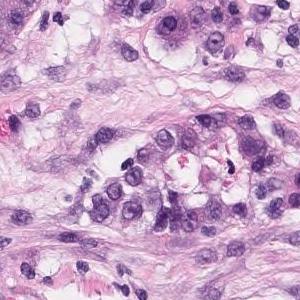
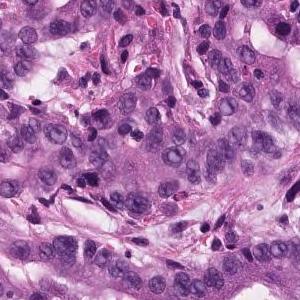
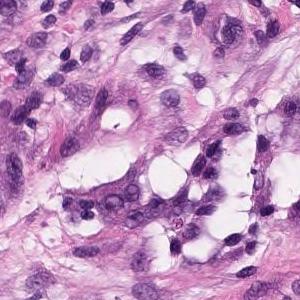
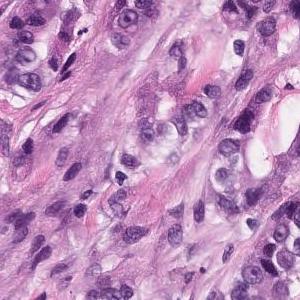
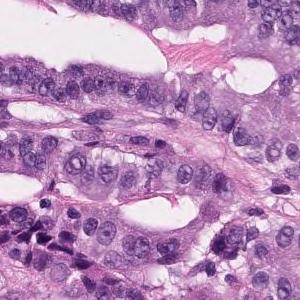
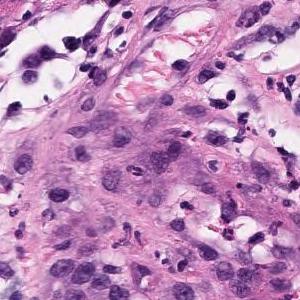
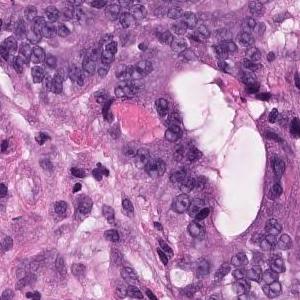
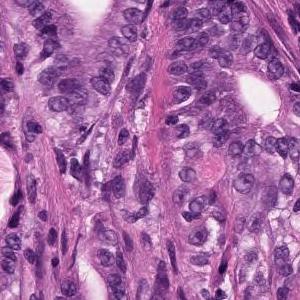
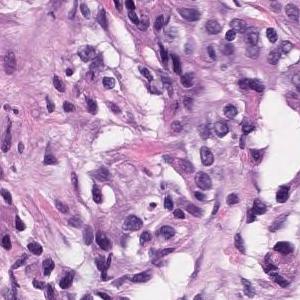
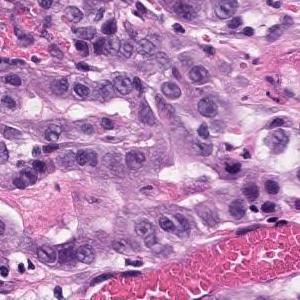
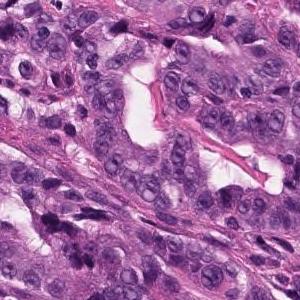
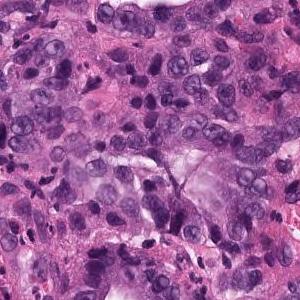
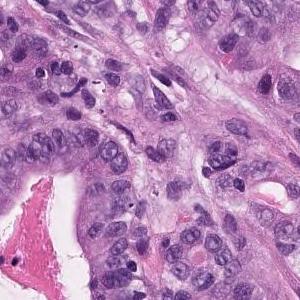
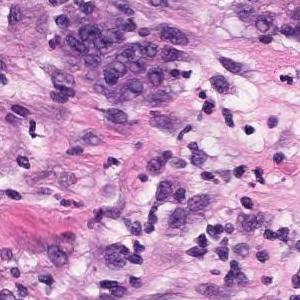
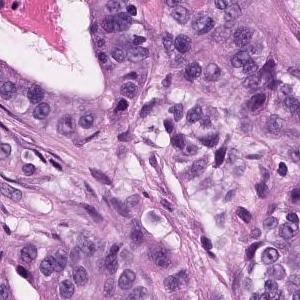
Scanned at ×20 · H&E stain · 15 tiles from the same stomach biopsy slide · 300×300 px each.
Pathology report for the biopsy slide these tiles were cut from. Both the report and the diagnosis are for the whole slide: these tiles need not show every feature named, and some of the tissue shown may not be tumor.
In the superficial epithelium, tumor tissue that invades by forming medium-sized to small, irregular ducts is observed. Moderately differentiated adenocarcinoma.
Tumor subtype: moderately differentiated tubular adenocarcinoma.
